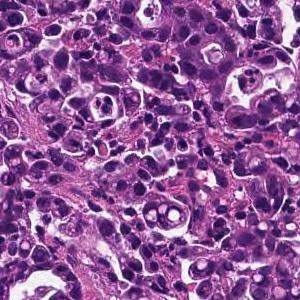
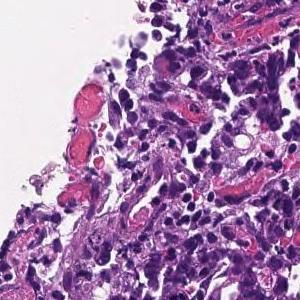
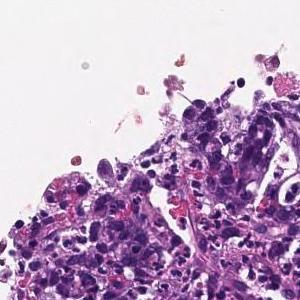
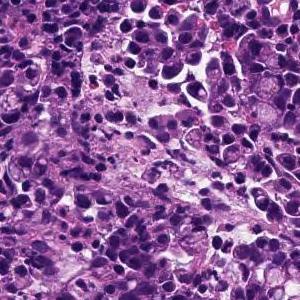
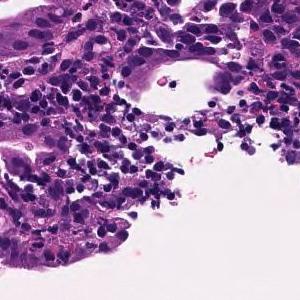
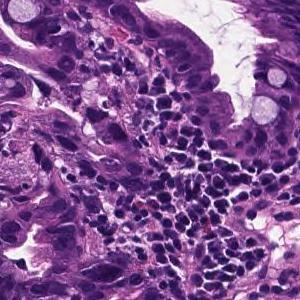
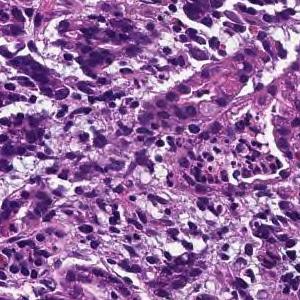
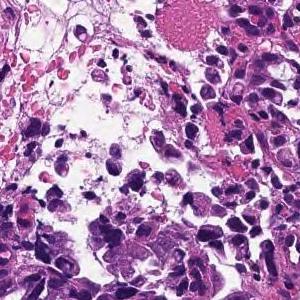
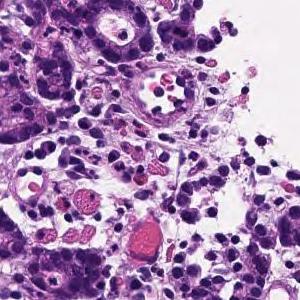
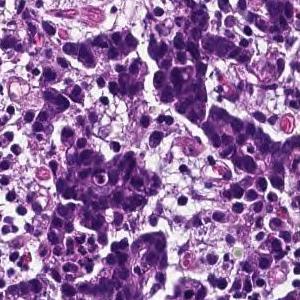
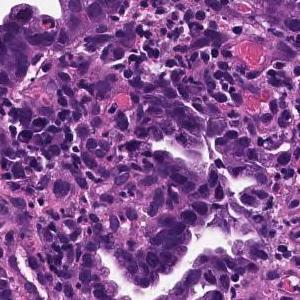
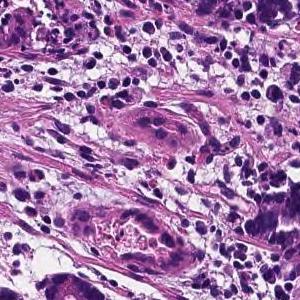
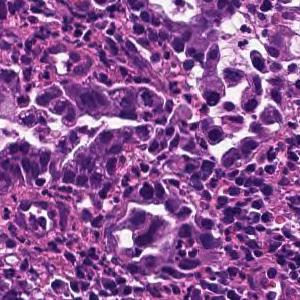
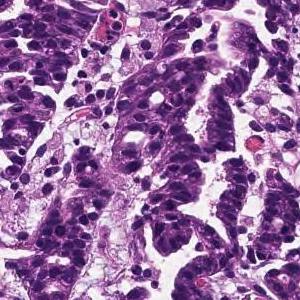
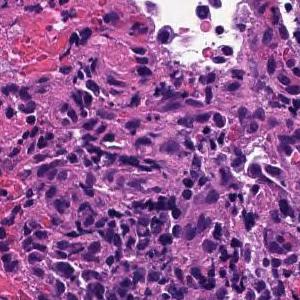
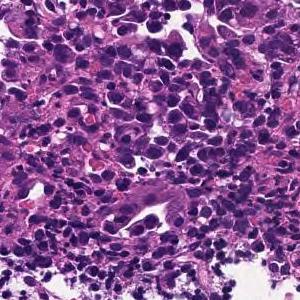
H&E stain · ×20 · 16 image tiles from a single gastric biopsy slide · 300×300 px each.
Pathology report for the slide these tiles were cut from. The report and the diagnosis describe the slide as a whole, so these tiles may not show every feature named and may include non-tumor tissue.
In the superficial epithelium, tumor tissue that invades by forming medium-sized to small, irregular ducts is observed. moderately differentiated tubular adenocarcinoma.
